H&E stain · ×20 · 14 tiles cut from one stomach biopsy slide · 300 × 300 pixels each.
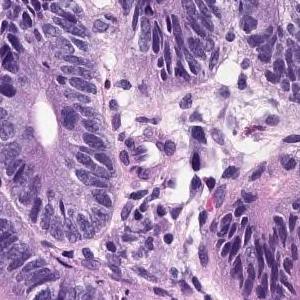
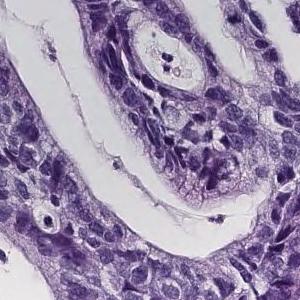
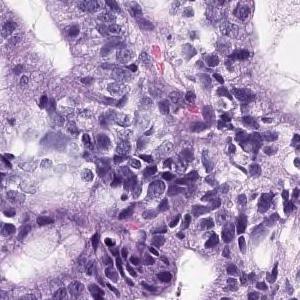
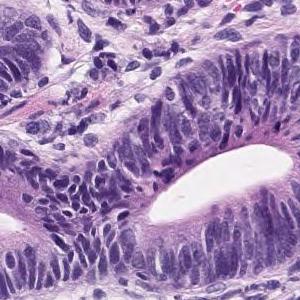
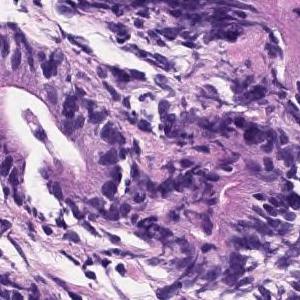
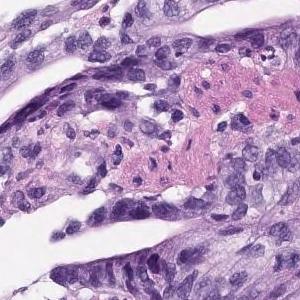
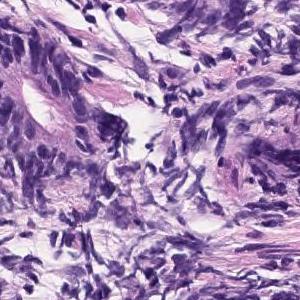
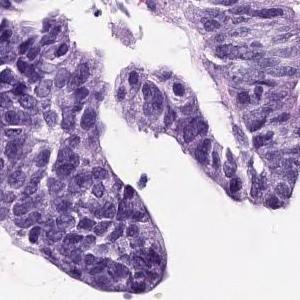
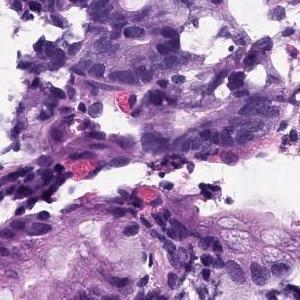
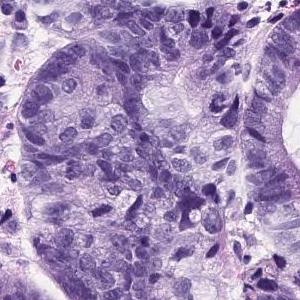
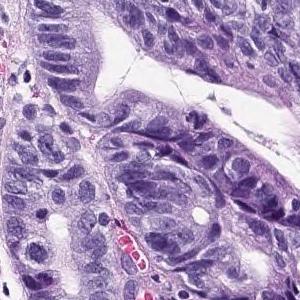
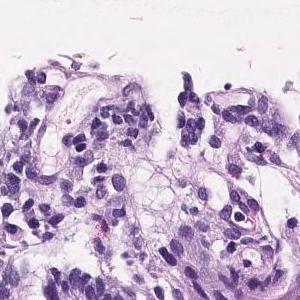
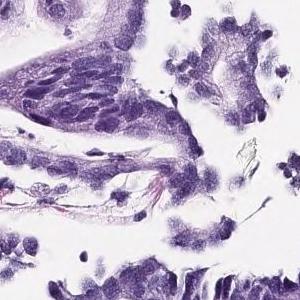
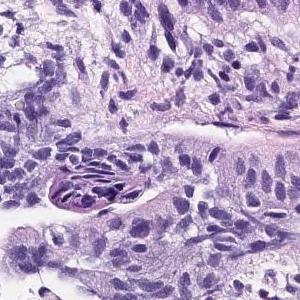
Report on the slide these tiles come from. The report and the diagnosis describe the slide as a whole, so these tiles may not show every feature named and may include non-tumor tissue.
On the superficial epithelium, tumor tissue consisting of medium-sized to large-sized, round or irregular glandular duct growth images is observed. Well differentiated adenocarcinoma.
Histologic type: Well differentiated tubular adenocarcinoma.
